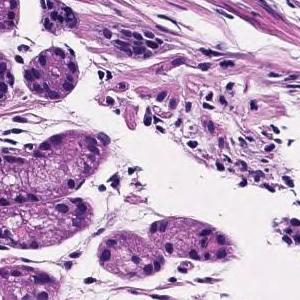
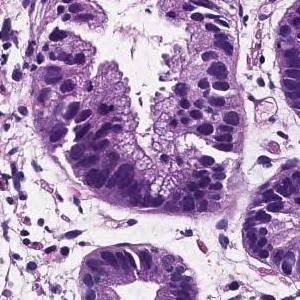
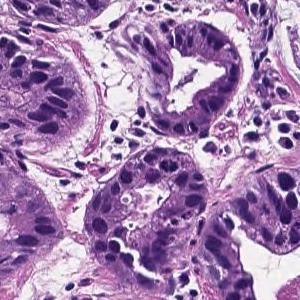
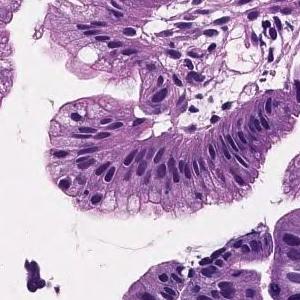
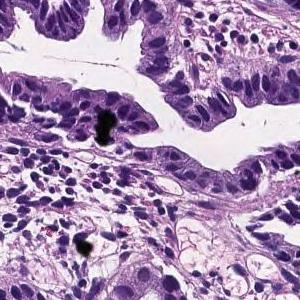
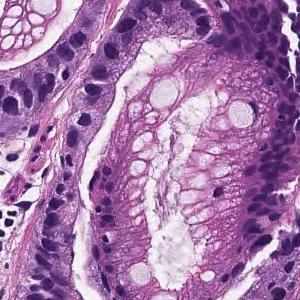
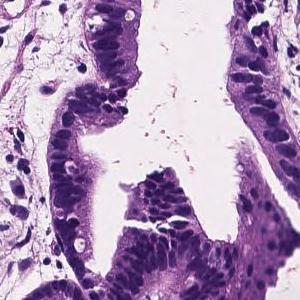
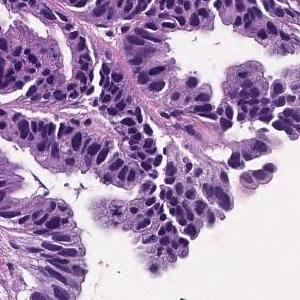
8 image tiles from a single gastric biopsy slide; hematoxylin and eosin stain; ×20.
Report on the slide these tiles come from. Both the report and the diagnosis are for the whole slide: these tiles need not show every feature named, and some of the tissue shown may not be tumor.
Tumor cells are large, highly columnar, large club-shaped nuclei, and are associated with chromatin aggregation. Papillary adenocarcinoma.
